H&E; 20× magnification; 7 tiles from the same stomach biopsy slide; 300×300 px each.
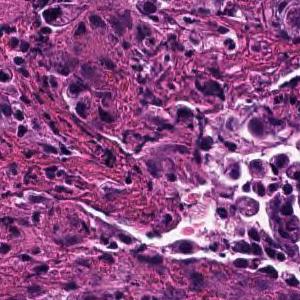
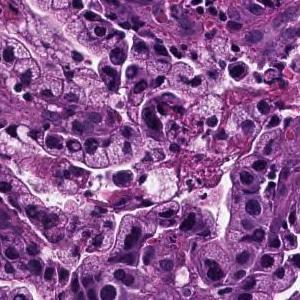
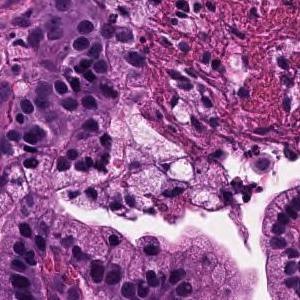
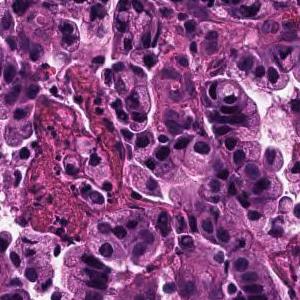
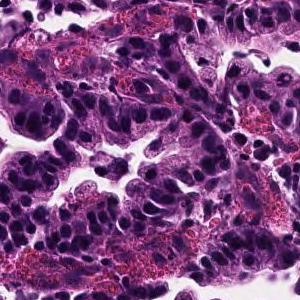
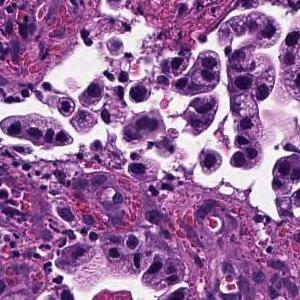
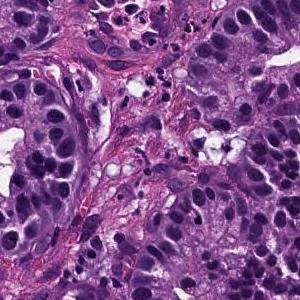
The pathologist's report on the biopsy slide these tiles were taken from. What the report and the diagnosis say applies to the whole slide; these tiles may miss some of the features named and may include tissue that is not tumor.
Tumor cells are large, highly columnar, large club-shaped nuclei, and are associated with chromatin aggregation. Papillary adenocarcinoma.
